13 tiles cut from one stomach biopsy slide, H&E stain.
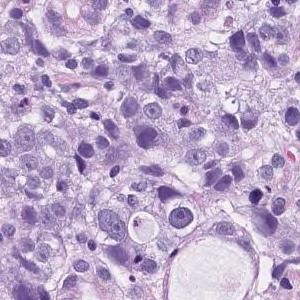
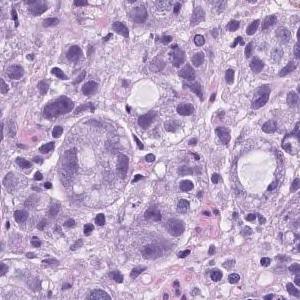
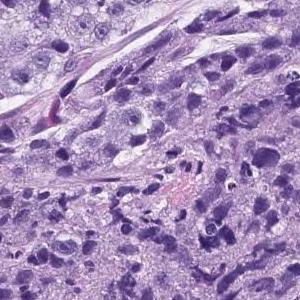
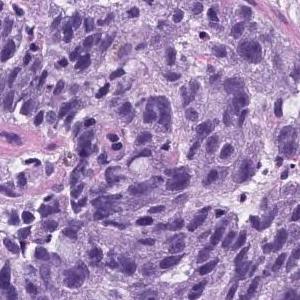
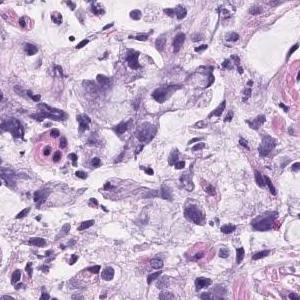
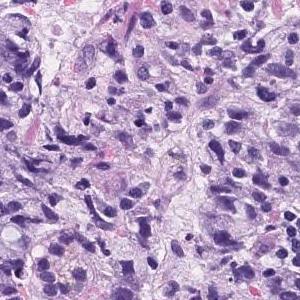
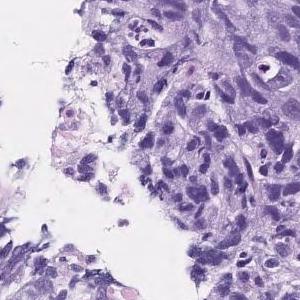
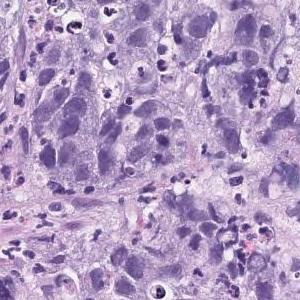
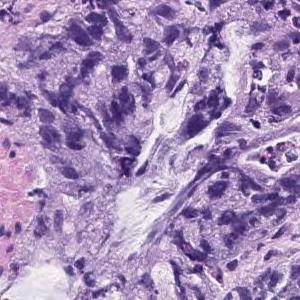
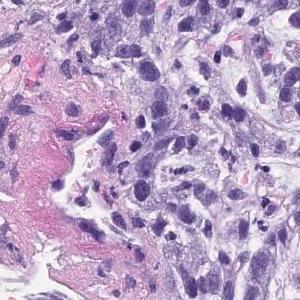
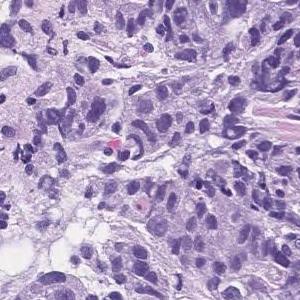
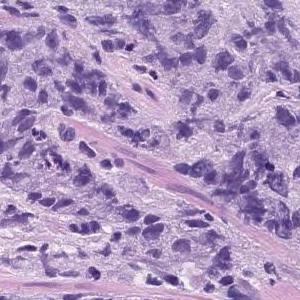
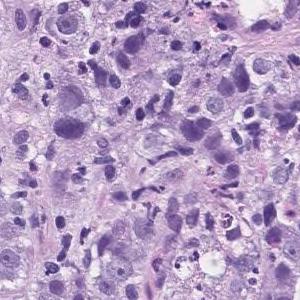
Diagnostic report for the slide these tiles come from. The report describes the whole slide, diagnosis included: not every finding it names need appear in these tiles, which may also show non-tumor tissue.
Atypical l cells with atypical nuclei forming solid vesicles or small irregular atypical ducts that proliferate in a complex manner. poorly differentiated adenocarcinoma, solid type, moderately differentiated tubular adenocarcinoma
The solid type named here is a Japanese Classification of Gastric Carcinoma category; WHO 2019 calls it tubular adenocarcinoma, poorly differentiated.
